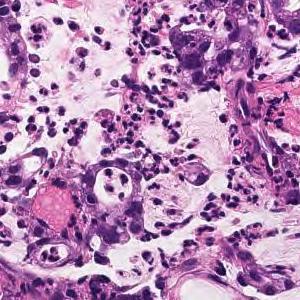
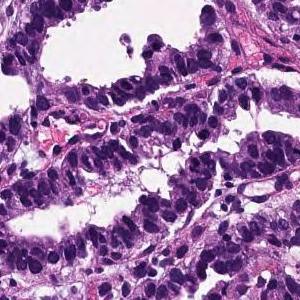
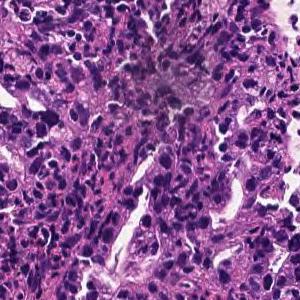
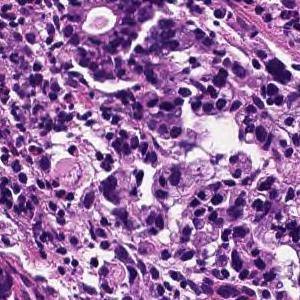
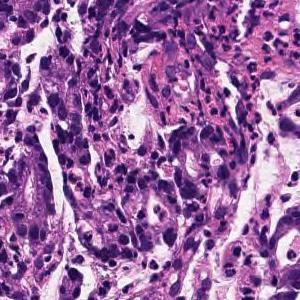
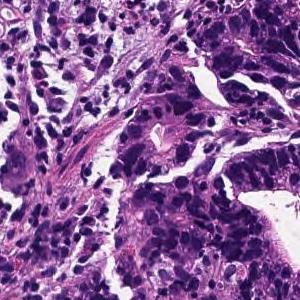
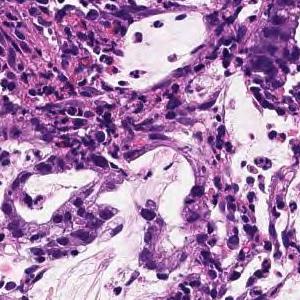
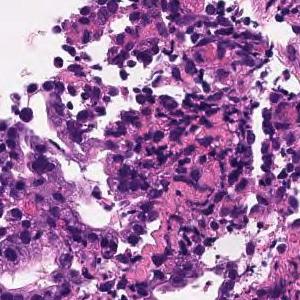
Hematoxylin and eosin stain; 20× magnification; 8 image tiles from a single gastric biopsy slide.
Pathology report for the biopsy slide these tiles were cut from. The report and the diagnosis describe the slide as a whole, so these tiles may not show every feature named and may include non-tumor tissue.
On the superficial epithelium, tumor tissue consisting of large, irregular glandular ducts partially fused and infiltrated is observed. Well to moderately differentiated tubular adenocarcinoma (well differentiated tubular adenocarcinoma, moderately differentiated tubular adenocarcinoma)
Classified as well to moderately differentiated tubular adenocarcinoma.
